15 tiles cut from one stomach biopsy slide · 300 × 300 pixels each · H&E · 20× magnification.
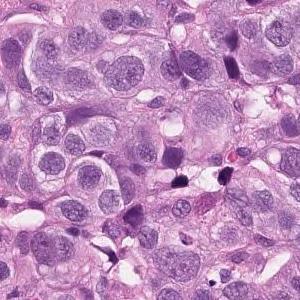
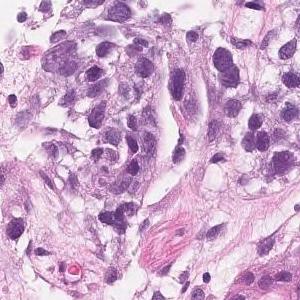
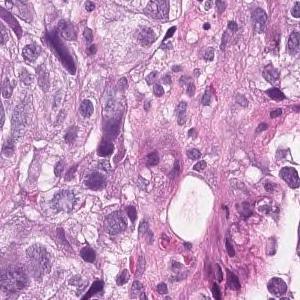
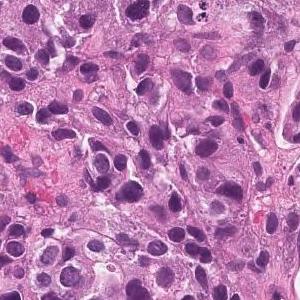
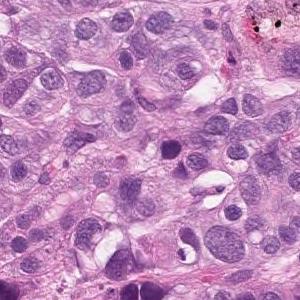
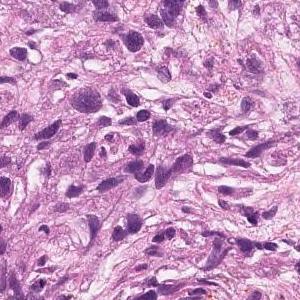
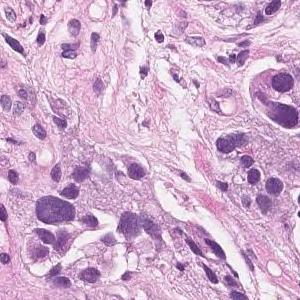
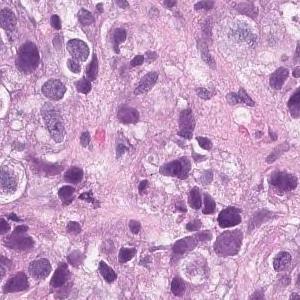
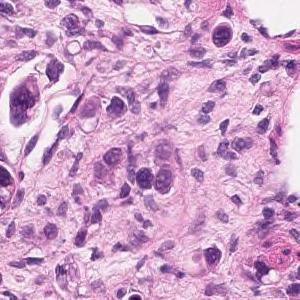
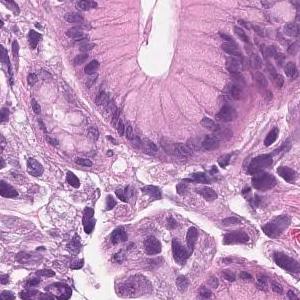
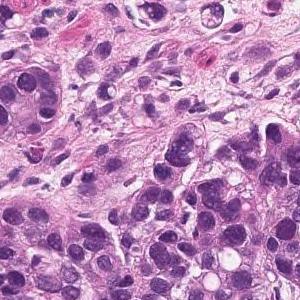
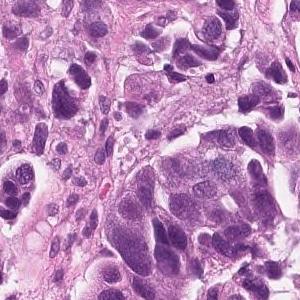
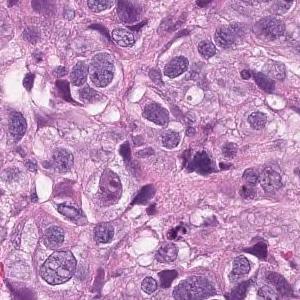
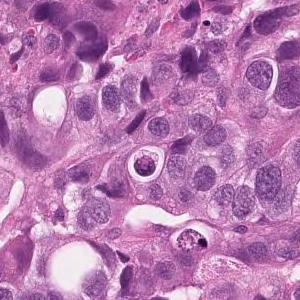
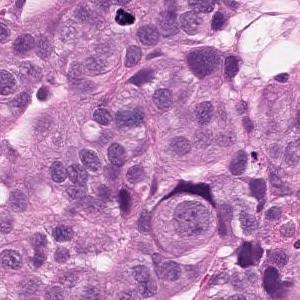
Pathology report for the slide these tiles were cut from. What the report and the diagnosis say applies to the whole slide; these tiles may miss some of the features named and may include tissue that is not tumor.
Tumor tissue that infiltrates the epithelium in an alveolar manner. Poorly differentiated adenocarcinoma, solid-type
Subtype: Poorly differentiated adenocarcinoma, solid type, a category of the Japanese Classification of Gastric Carcinoma; in the WHO 2019 classification it is tubular adenocarcinoma, poorly differentiated.
